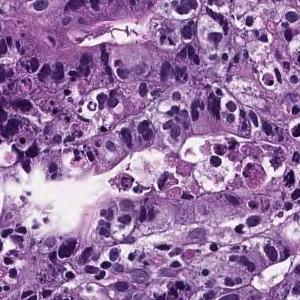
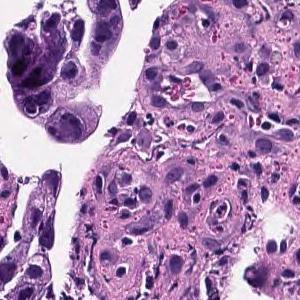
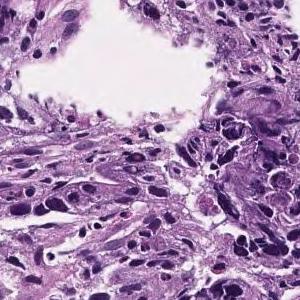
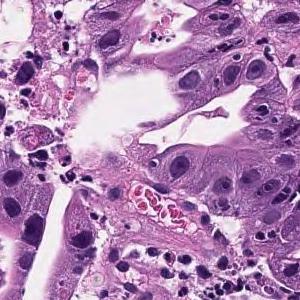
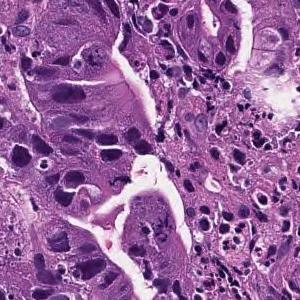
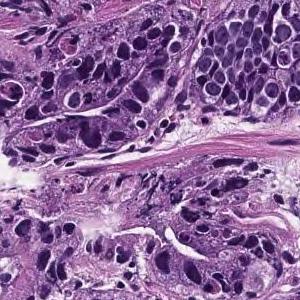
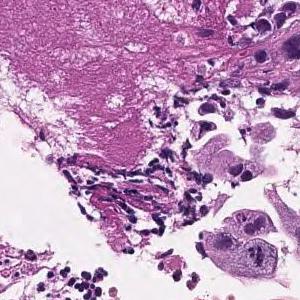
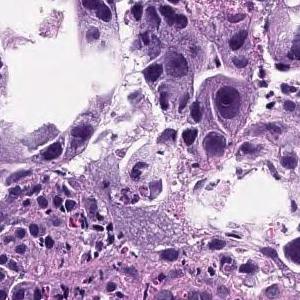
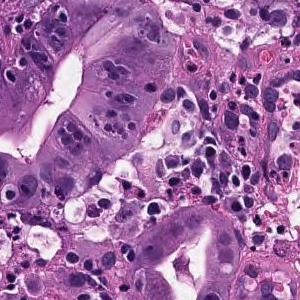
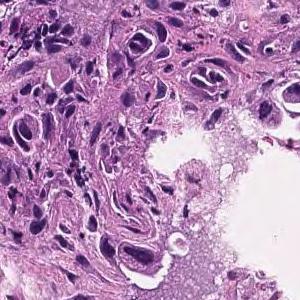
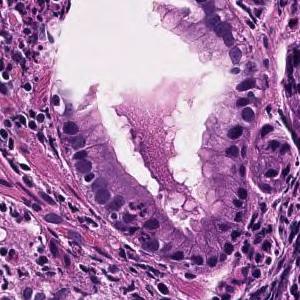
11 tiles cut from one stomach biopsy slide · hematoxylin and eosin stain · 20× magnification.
Pathology report for the slide these tiles were cut from. What the report and the diagnosis say applies to the whole slide; these tiles may miss some of the features named and may include tissue that is not tumor.
In the superficial epithelium, medium to small irregular gland ducts are formed, and in some cases, the ducts are fused to show solid alveolar lesions and infiltrating tumor tissue is observed. Moderately to poorly differentiated adenocarcinoma
